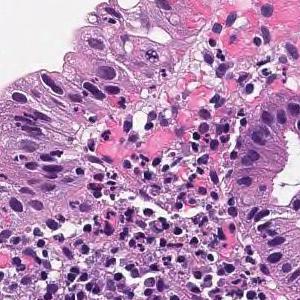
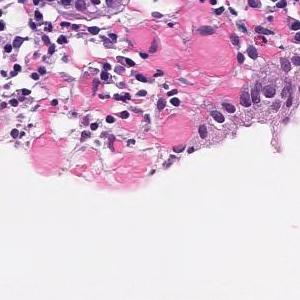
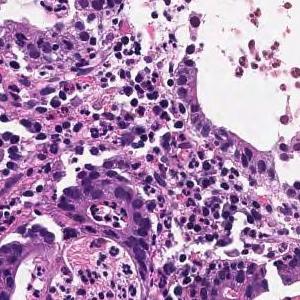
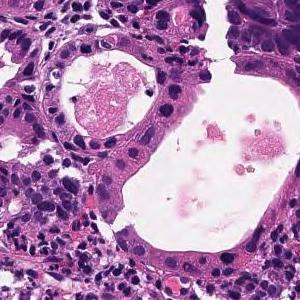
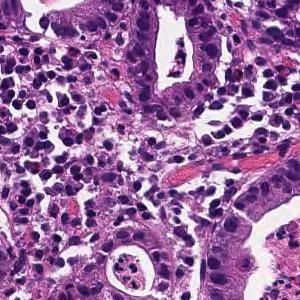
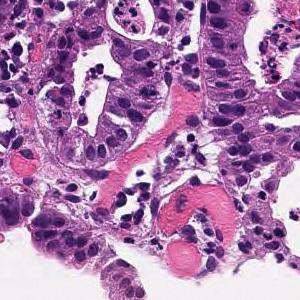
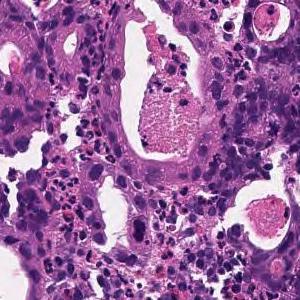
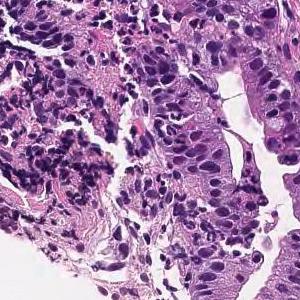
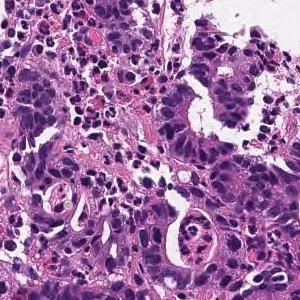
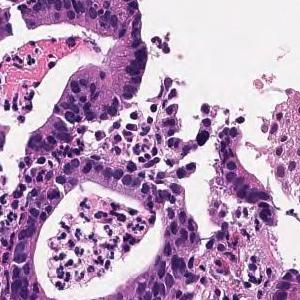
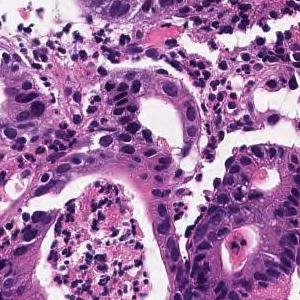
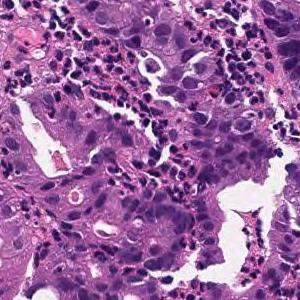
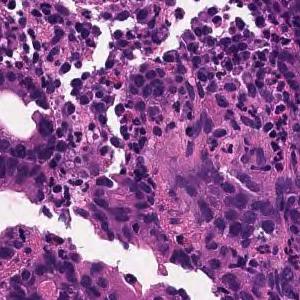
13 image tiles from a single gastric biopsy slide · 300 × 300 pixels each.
Pathology report for the biopsy slide these tiles were cut from. The findings and the diagnosis refer to the entire slide; these tiles show only part of it, possibly with non-tumor tissue, and may not show every feature named.
In the superficial epithelium, tumor tissue that invades by forming medium-sized to small, irregular ducts is observed. moderately differentiated tubular adenocarcinoma.
